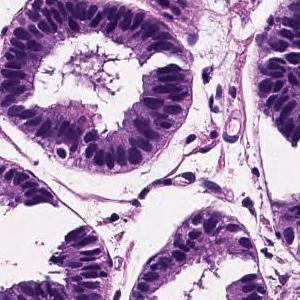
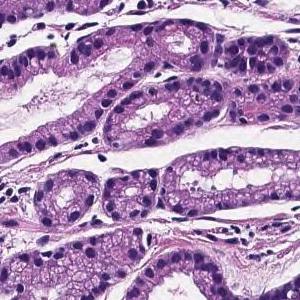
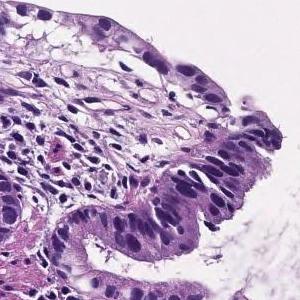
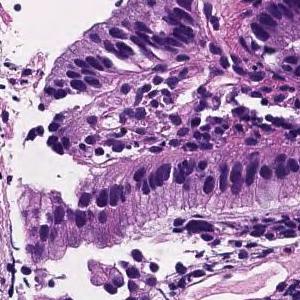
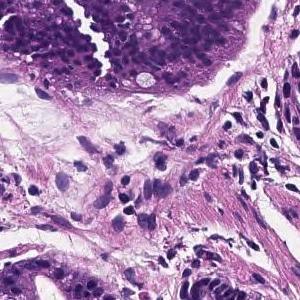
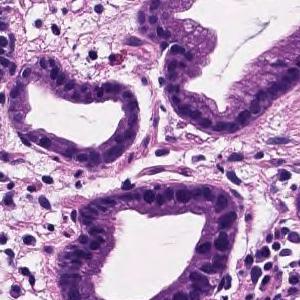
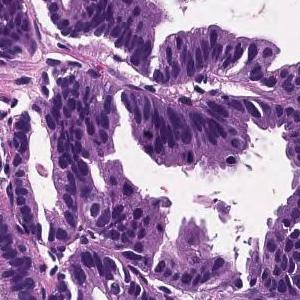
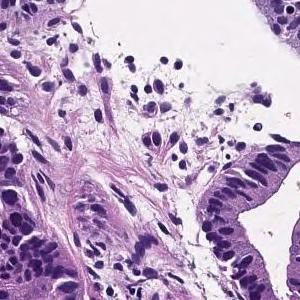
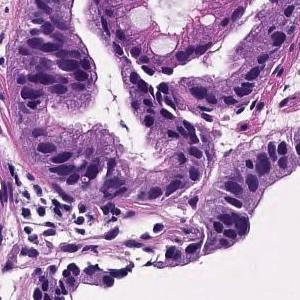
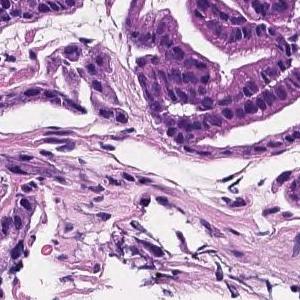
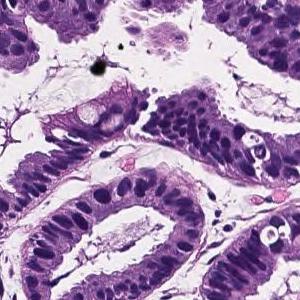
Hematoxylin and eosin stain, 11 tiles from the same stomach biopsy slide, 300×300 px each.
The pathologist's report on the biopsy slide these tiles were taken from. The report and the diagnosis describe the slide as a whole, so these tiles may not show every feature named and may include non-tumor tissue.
Tumor cells are large, highly columnar, large club-shaped nuclei, and are associated with chromatin aggregation. Papillary adenocarcinoma.
